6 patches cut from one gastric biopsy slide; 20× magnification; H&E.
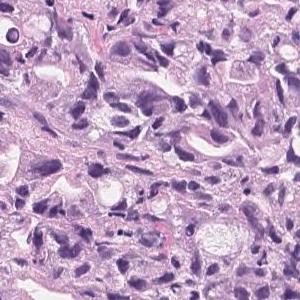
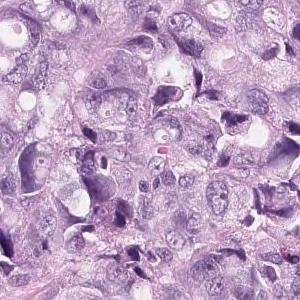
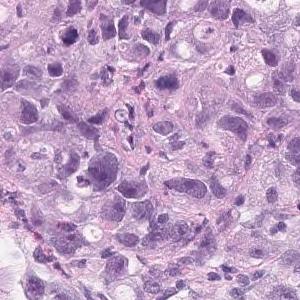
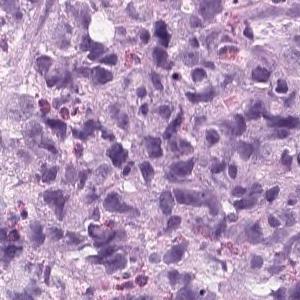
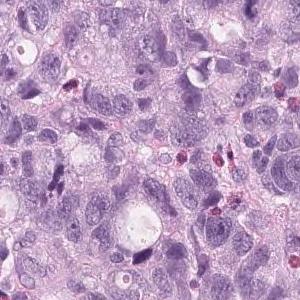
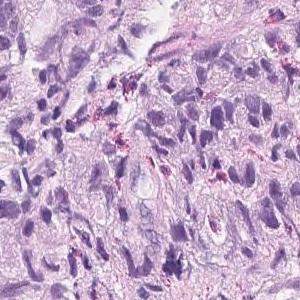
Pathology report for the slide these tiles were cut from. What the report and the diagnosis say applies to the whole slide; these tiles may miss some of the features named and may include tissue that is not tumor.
Tumor tissue that infiltrates and proliferates by forming small glandular cavities in the superficial layer to the submucosa or forming a mass is observed. moderately differentiated tubular adenocarcinoma
